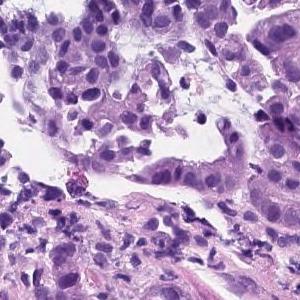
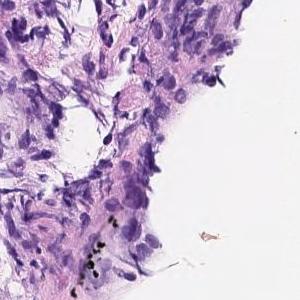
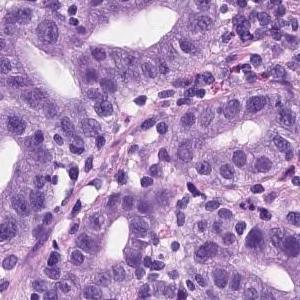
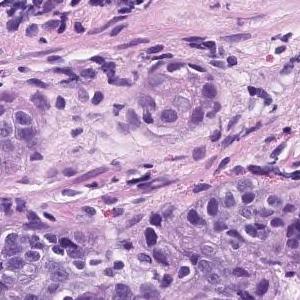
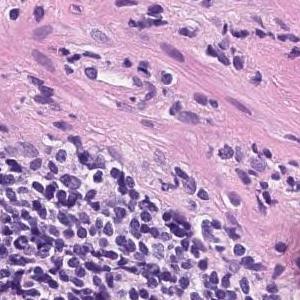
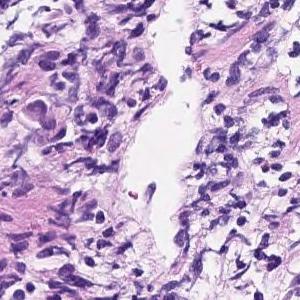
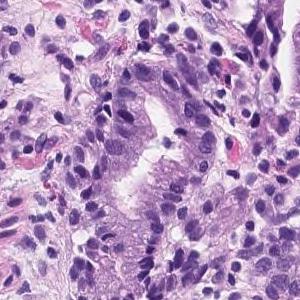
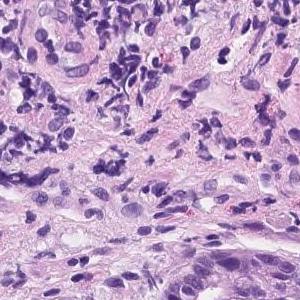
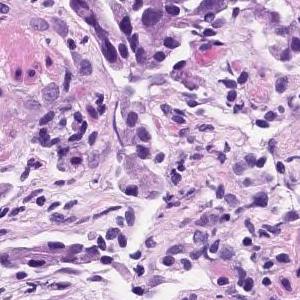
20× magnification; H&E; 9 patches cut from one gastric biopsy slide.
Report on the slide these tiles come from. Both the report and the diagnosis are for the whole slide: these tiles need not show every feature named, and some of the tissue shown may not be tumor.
Tumor tissue consisting of medium-sized and irregular ducts is observed infiltrating in the superficial epithelium. Tumor cells are highly columnar, with nuclei aligned basolaterally and polarized. Well differentiated tubular adenocarcinoma.
